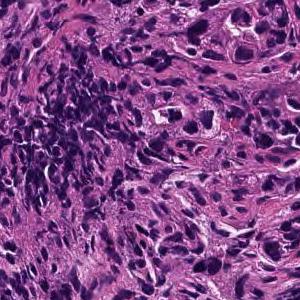
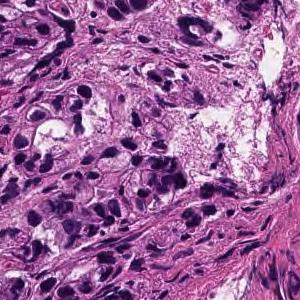
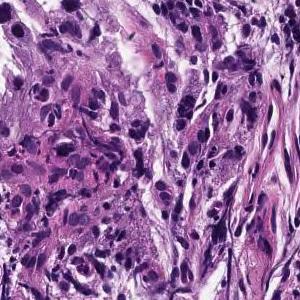
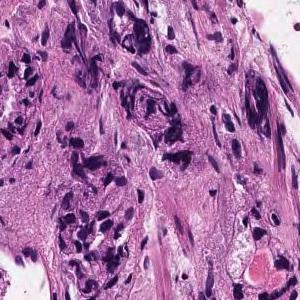
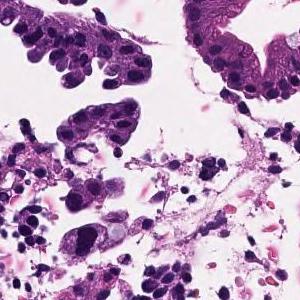
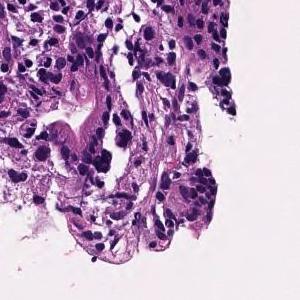
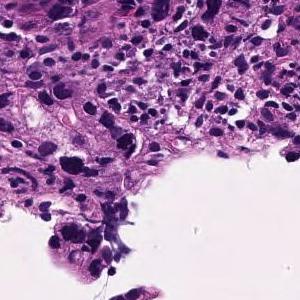
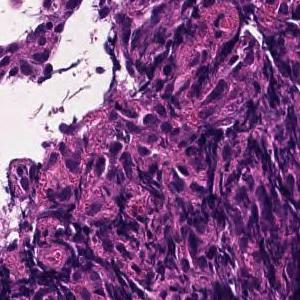
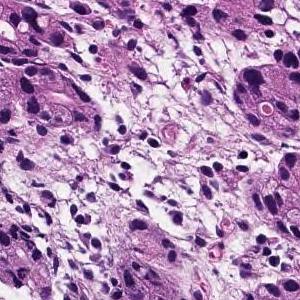
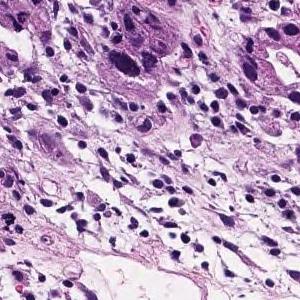
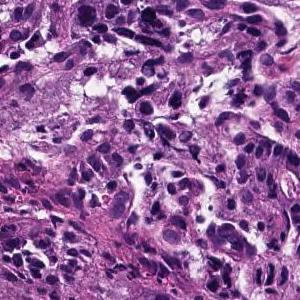
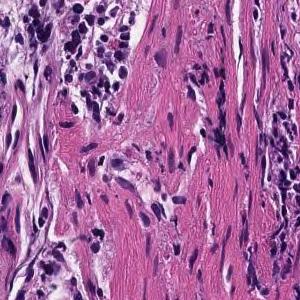
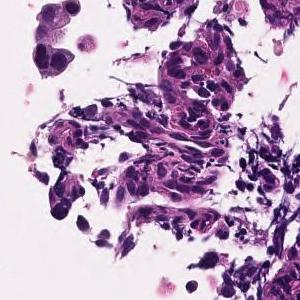
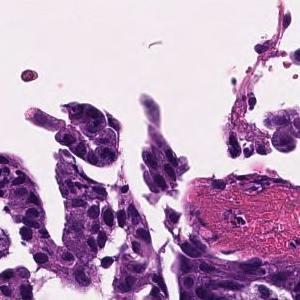
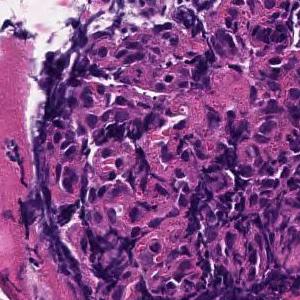
15 image tiles from a single gastric biopsy slide · each 300 × 300 pixels · scanned at ×20 · H&E stain.
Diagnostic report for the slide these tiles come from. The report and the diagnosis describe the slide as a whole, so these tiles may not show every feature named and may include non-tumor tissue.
In the superficial epithelium, tumor tissue that invades by forming medium-sized to small, irregular ducts is observed. moderately differentiated tubular adenocarcinoma.
